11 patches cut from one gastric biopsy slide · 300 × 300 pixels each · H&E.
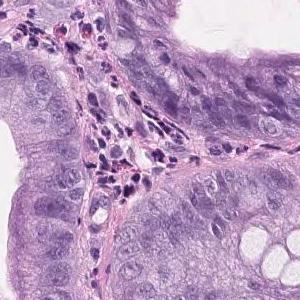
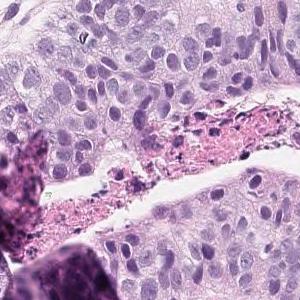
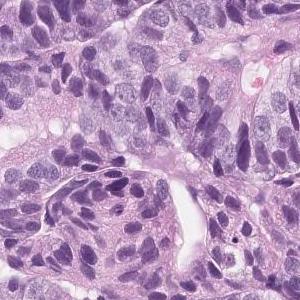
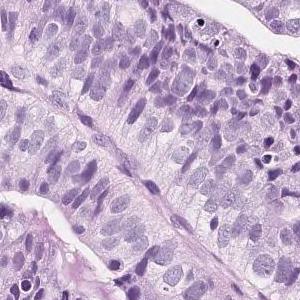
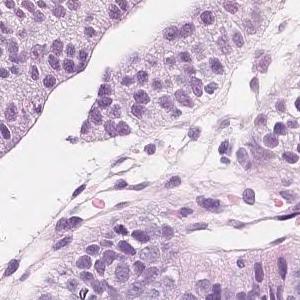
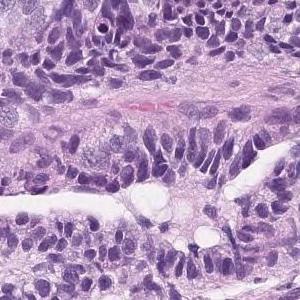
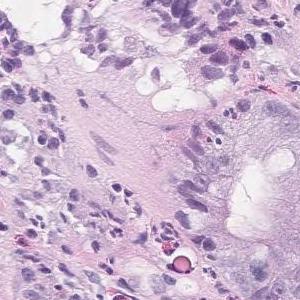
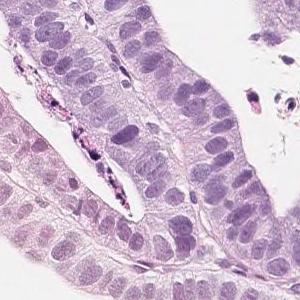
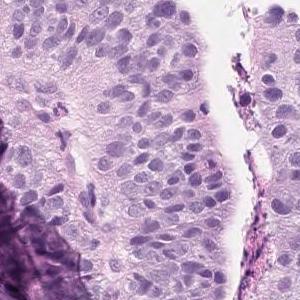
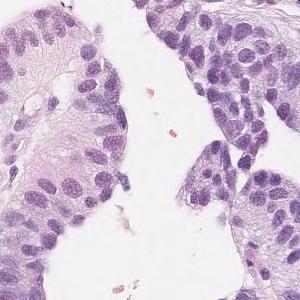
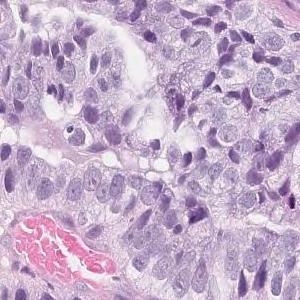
Pathology report for the biopsy slide these tiles were cut from. The findings and the diagnosis refer to the entire slide; these tiles show only part of it, possibly with non-tumor tissue, and may not show every feature named.
Tumor tissue in which highly columnar atypical epithelial cells with nuclear enlargement and increased nuclear chromatin show papillary to papillary ductal structure and proliferate is observed. Papillary adenocarcinoma.
